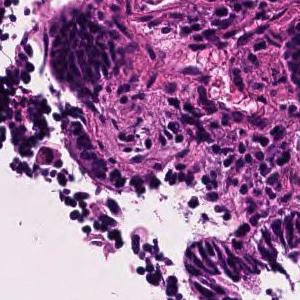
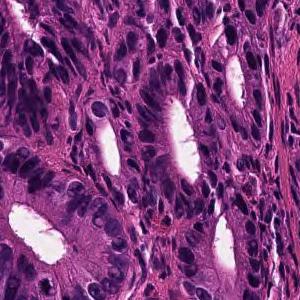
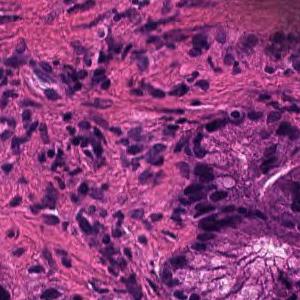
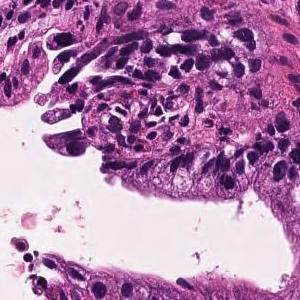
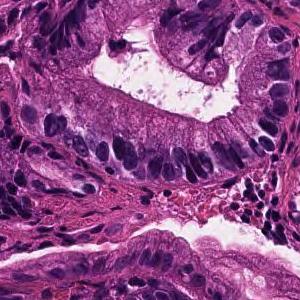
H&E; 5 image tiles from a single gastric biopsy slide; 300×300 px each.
Diagnostic report for the slide these tiles come from. The report describes the whole slide, diagnosis included: not every finding it names need appear in these tiles, which may also show non-tumor tissue.
In the superficial epithelium, tumor tissue that invades by forming medium-sized to small, irregular ducts is observed. Well differentiated tubular adenocarcinoma.
